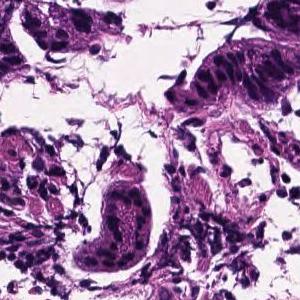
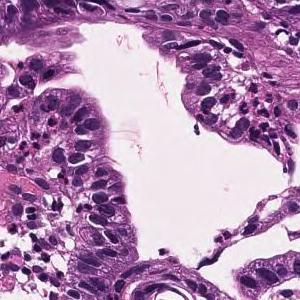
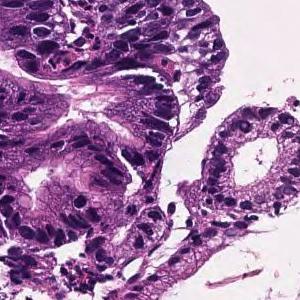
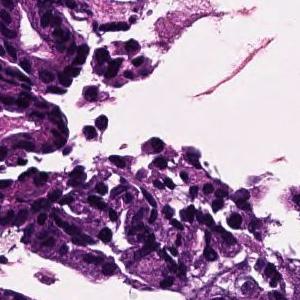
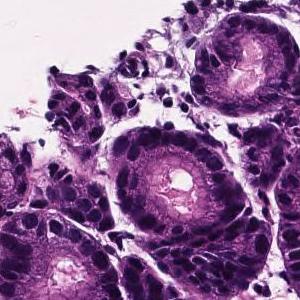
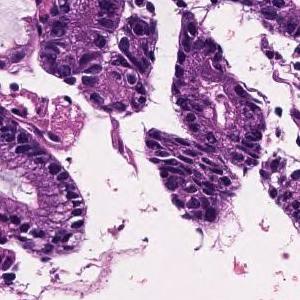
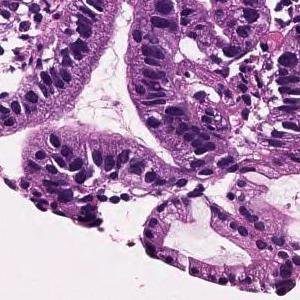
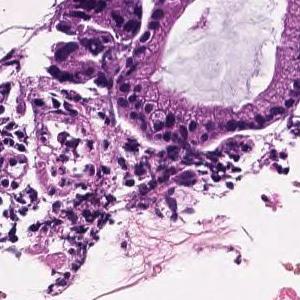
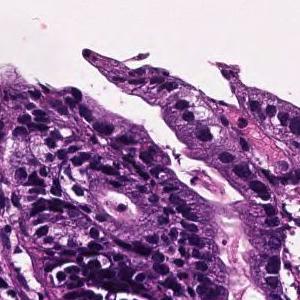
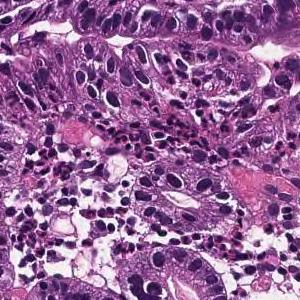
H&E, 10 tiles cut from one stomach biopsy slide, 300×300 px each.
The pathologist's report on the biopsy slide these tiles were taken from. The findings and the diagnosis refer to the entire slide; these tiles show only part of it, possibly with non-tumor tissue, and may not show every feature named.
On the superficial epithelium, tumor tissue that infiltrates by forming medium-sized papillary or small irregular ducts is observed. Papillary adenocarcinoma
